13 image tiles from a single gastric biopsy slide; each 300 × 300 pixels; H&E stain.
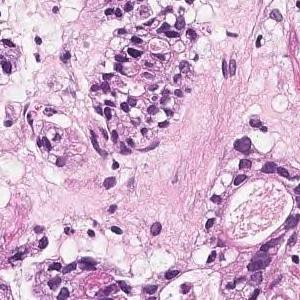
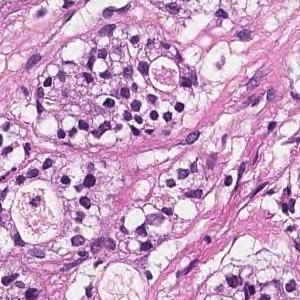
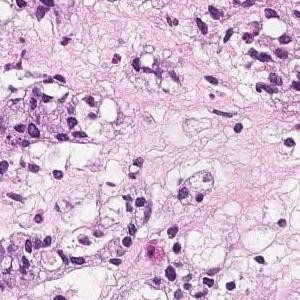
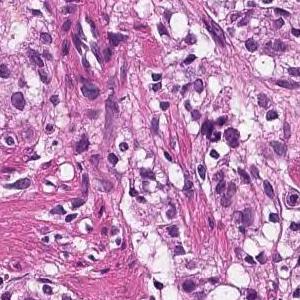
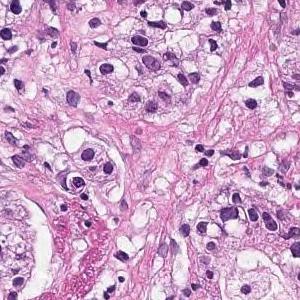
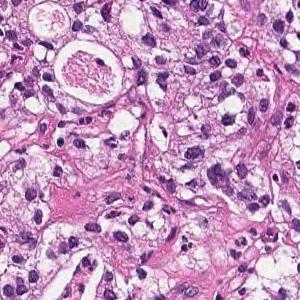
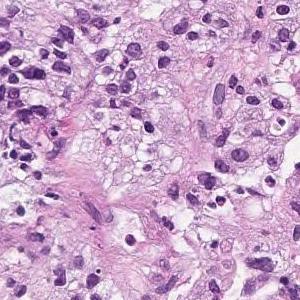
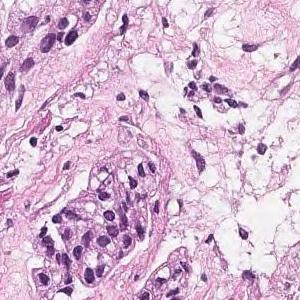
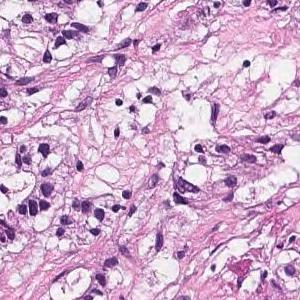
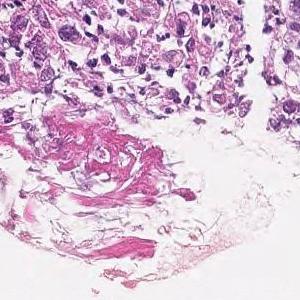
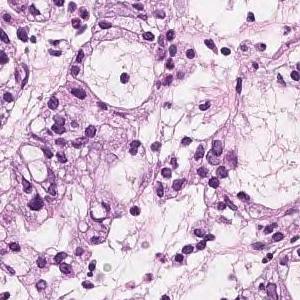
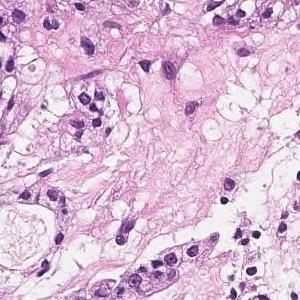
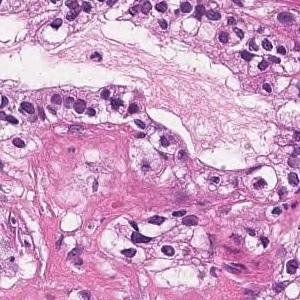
The pathologist's report on the biopsy slide these tiles were taken from. Both the report and the diagnosis are for the whole slide: these tiles need not show every feature named, and some of the tissue shown may not be tumor.
In the superficial epithelium, tumor tissue that invades by forming medium-sized to small, irregular ducts is observed. moderately differentiated tubular adenocarcinoma.
